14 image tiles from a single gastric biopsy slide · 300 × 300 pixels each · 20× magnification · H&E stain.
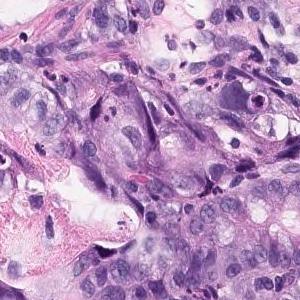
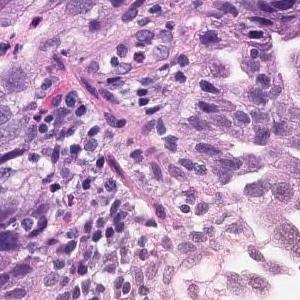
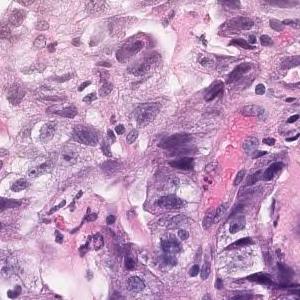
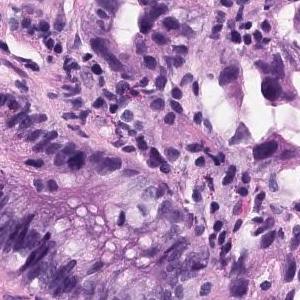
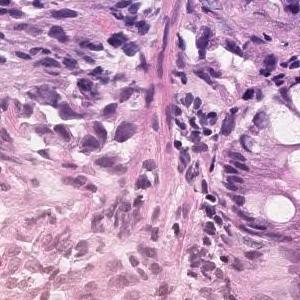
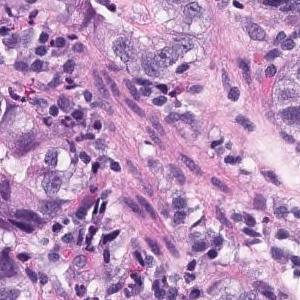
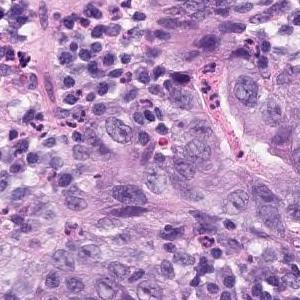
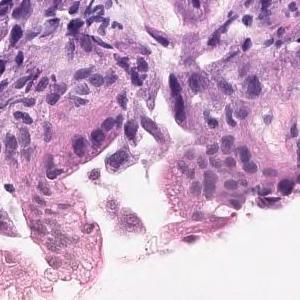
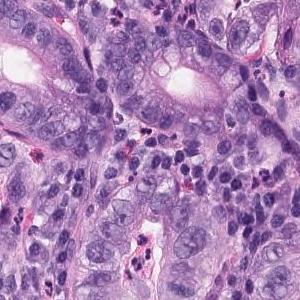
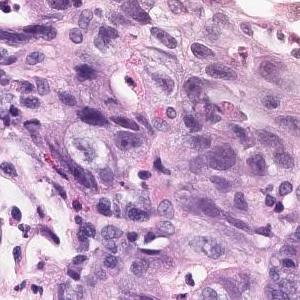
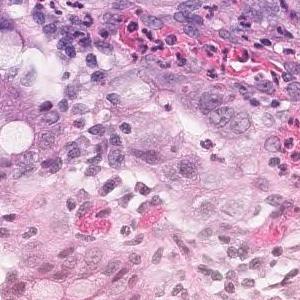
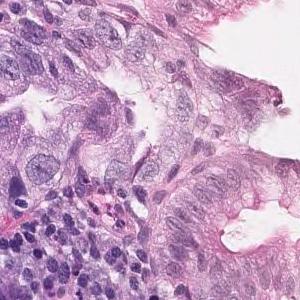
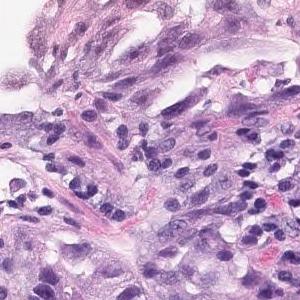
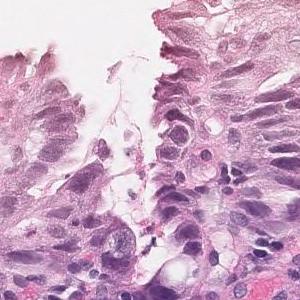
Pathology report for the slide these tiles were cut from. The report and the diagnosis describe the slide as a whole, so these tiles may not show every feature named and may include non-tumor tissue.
In the superficial epithelium, tumor tissue that invades by forming medium-sized to small irregular glandular ducts is observed. Moderately differentiated adenocarcinoma.
Histological subtype: Moderately differentiated tubular adenocarcinoma.
